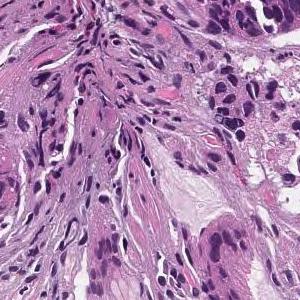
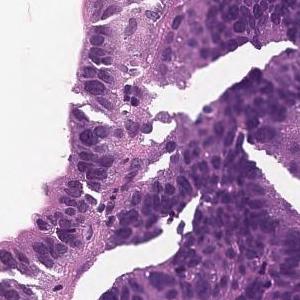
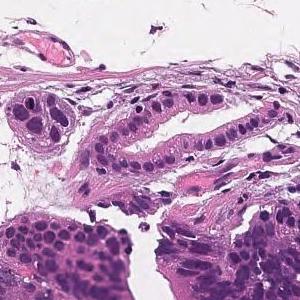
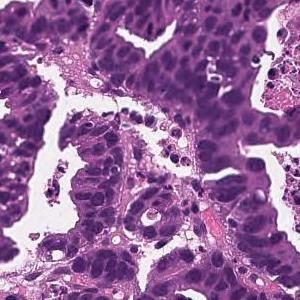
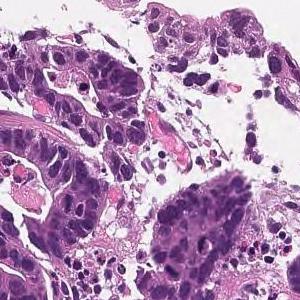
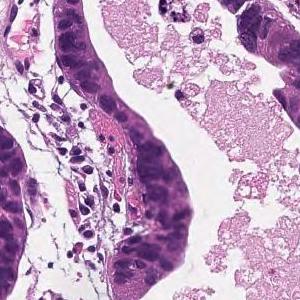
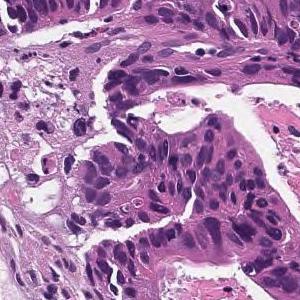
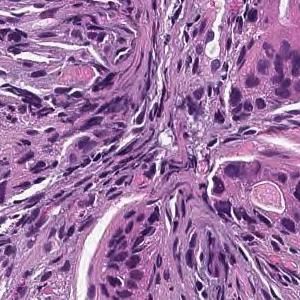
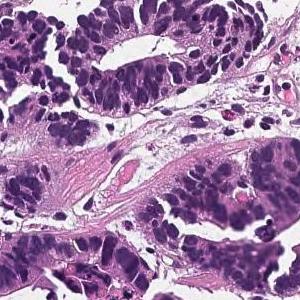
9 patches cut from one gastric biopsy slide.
Pathology report for the biopsy slide these tiles were cut from. The report and the diagnosis cover the entire slide, so not every feature they name need be visible here, and some tissue shown may not be tumor.
In the superficial epithelium, tumor tissue that invades by forming medium-sized to small, irregular ducts is observed. moderately differentiated tubular adenocarcinoma.
